6 patches cut from one gastric biopsy slide, 300 × 300 pixels each, H&E, 20× magnification.
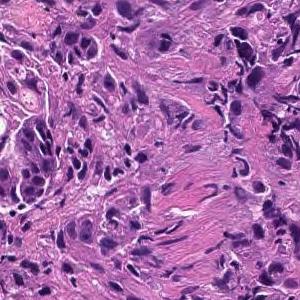
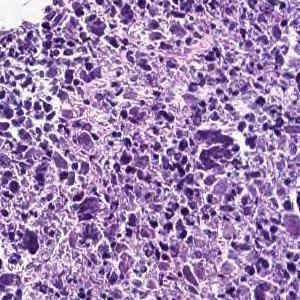
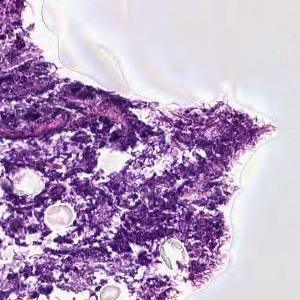
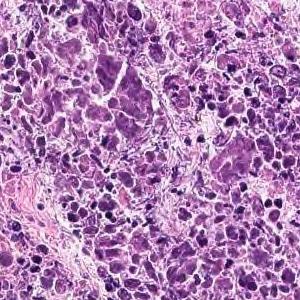
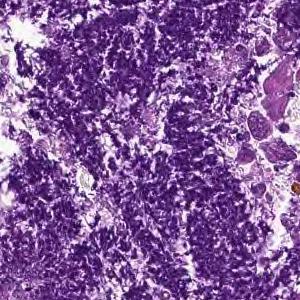
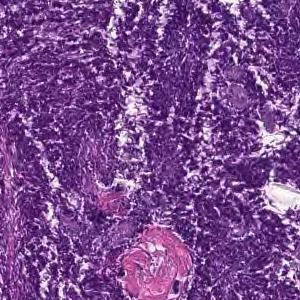
Report on the slide these tiles come from. The report and the diagnosis describe the slide as a whole, so these tiles may not show every feature named and may include non-tumor tissue.
Cancers with polygonal nuclei do not show glandular formation and are densely, in part, cord-like and proliferate. Poorly differentiated adenocarcinoma
Tumor subtype: poorly differentiated adenocarcinoma, non-solid type.
"Non-solid type" is a category of the Japanese Classification of Gastric Carcinoma.
